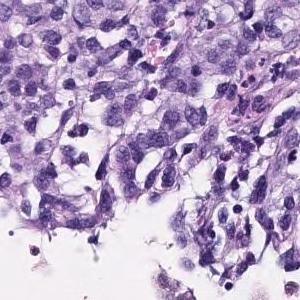
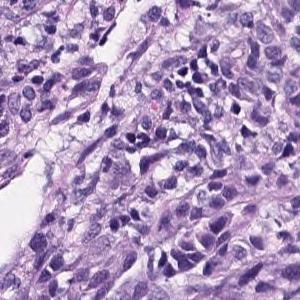
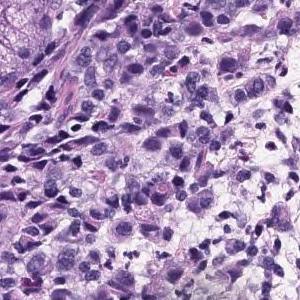
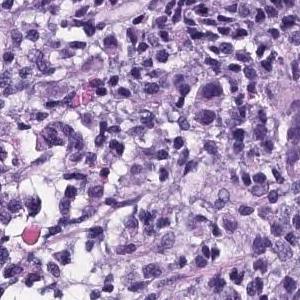
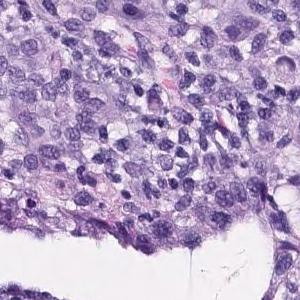
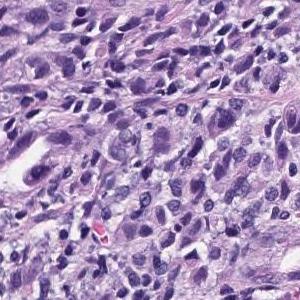
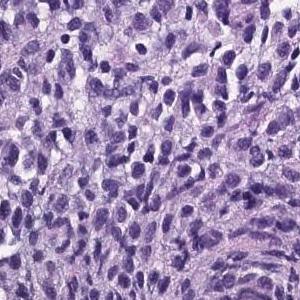
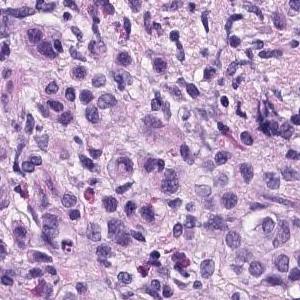
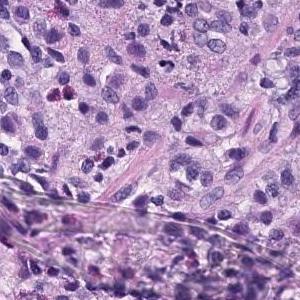
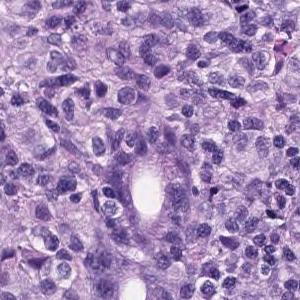
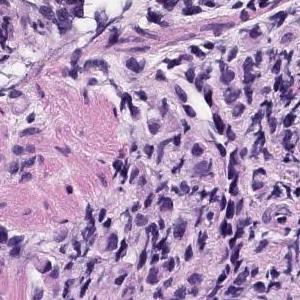
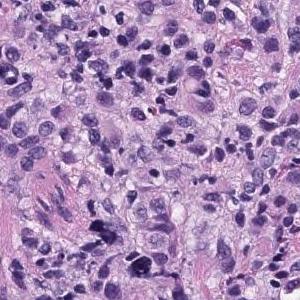
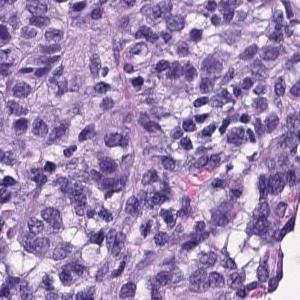
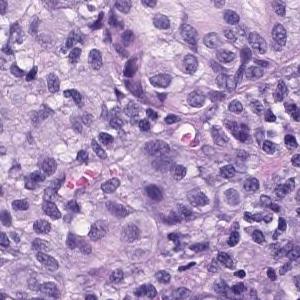
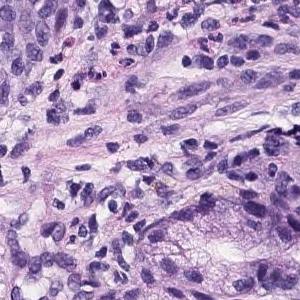
15 image tiles from a single gastric biopsy slide · 300 × 300 pixels each · H&E stain.
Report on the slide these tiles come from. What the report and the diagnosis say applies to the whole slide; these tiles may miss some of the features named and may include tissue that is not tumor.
There are medium-sized atypical cells with marked nuclear swelling and increased N/C ratio, which grow into solid or isolated scattered cells. Poorly differentiated adenocarcinoma
Classified as poorly differentiated adenocarcinoma, solid type (Japanese Classification of Gastric Carcinoma). The WHO 2019 equivalent is tubular adenocarcinoma, poorly differentiated.
